20× magnification; H&E stain; 6 patches cut from one gastric biopsy slide; each 300 × 300 pixels.
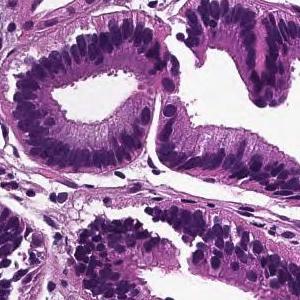
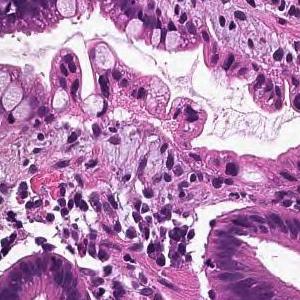
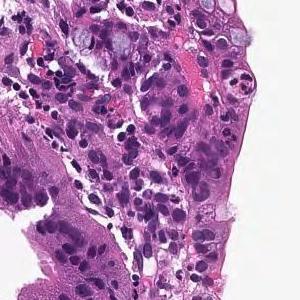
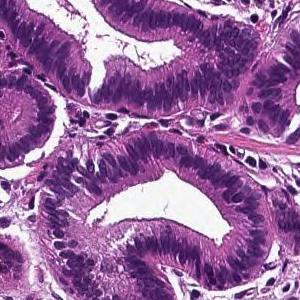
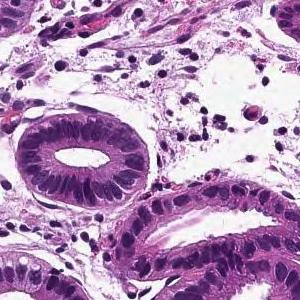
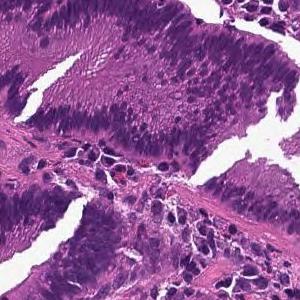
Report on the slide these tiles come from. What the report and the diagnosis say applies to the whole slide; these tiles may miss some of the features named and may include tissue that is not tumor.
From the superficial epithelium to the muscularis mucosae, tumor tissue consisting of medium-sized and irregular glandular ducts infiltrating is observed. Well differentiated tubular adenocarcinoma
